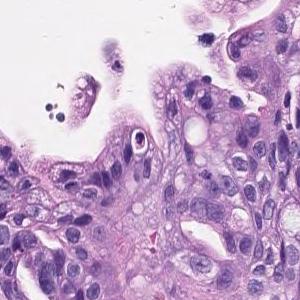
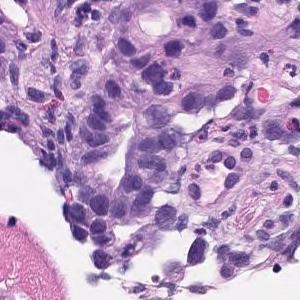
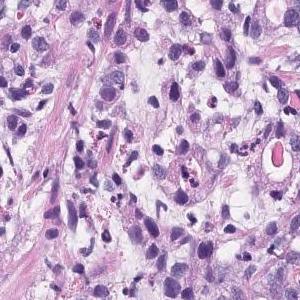
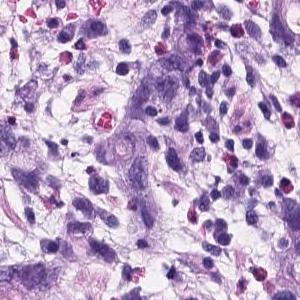
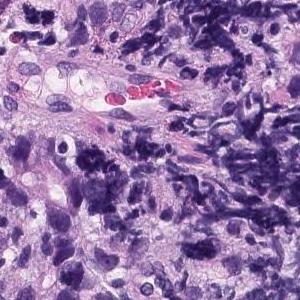
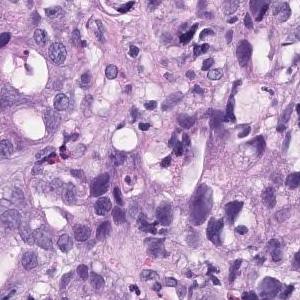
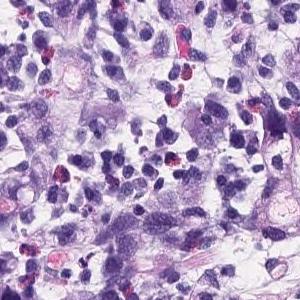
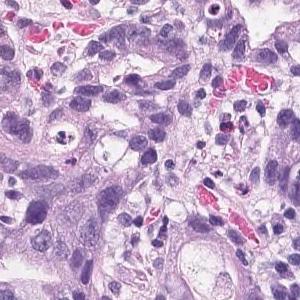
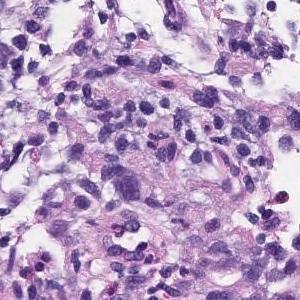
9 image tiles from a single gastric biopsy slide · 300 × 300 pixels each · ×20.
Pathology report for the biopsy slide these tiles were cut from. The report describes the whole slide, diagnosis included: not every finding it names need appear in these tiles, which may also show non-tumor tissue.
There are atypical l cells with atypical nuclei forming cord-like or irregular atypical ducts from solidity and proliferating in a comprehensive manner. Poorly differentiated adenocarcinoma, Moderately differentiated adenocarcinoma (poorly differentiated adenocarcinoma, solid type moderately differentiated tubular adenocarcinoma)
Subtype: Moderately to poorly differentiated adenocarcinoma.
The term "solid type" comes from the Japanese Classification of Gastric Carcinoma; the WHO 2019 equivalent is tubular adenocarcinoma, poorly differentiated.
